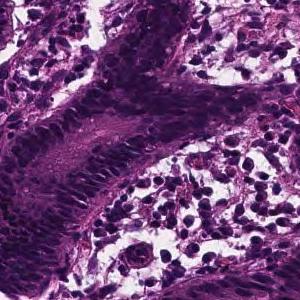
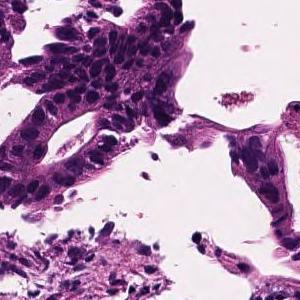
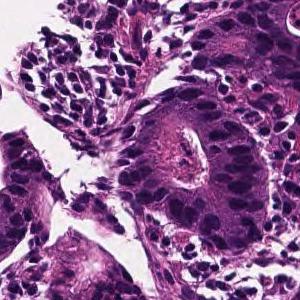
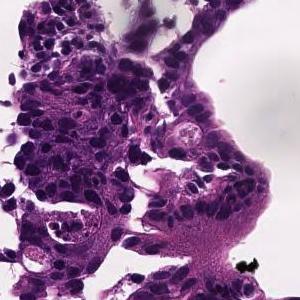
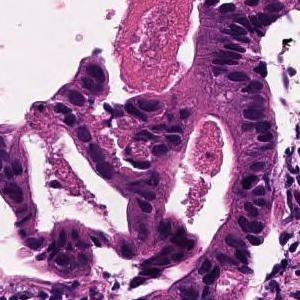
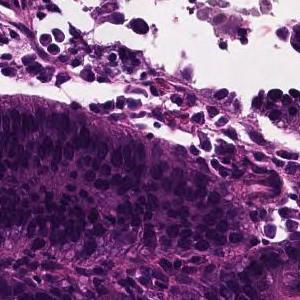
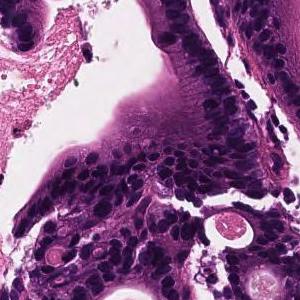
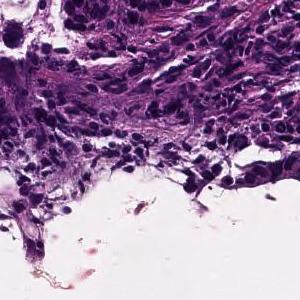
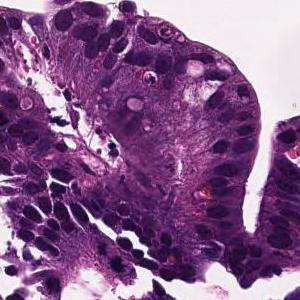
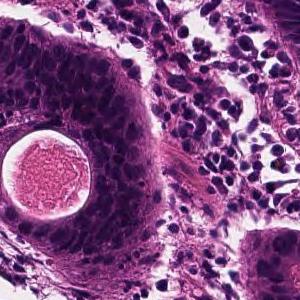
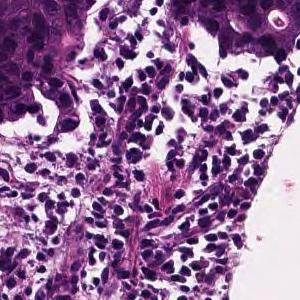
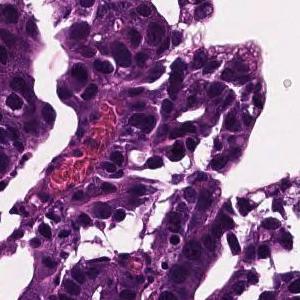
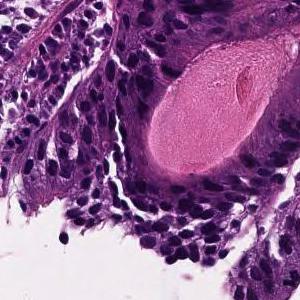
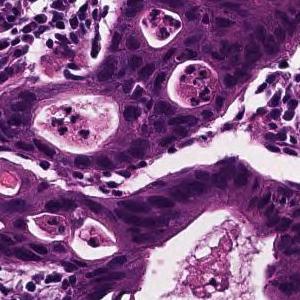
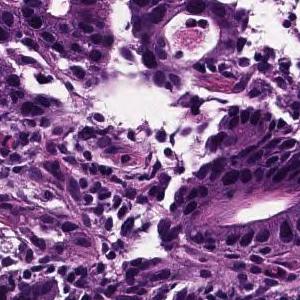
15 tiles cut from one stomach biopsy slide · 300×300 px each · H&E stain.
Pathology report for the slide these tiles were cut from. The findings and the diagnosis refer to the entire slide; these tiles show only part of it, possibly with non-tumor tissue, and may not show every feature named.
In the superficial epithelium, tumor tissue that invades by forming medium-sized to small, irregular ducts is observed. moderately differentiated tubular adenocarcinoma.
